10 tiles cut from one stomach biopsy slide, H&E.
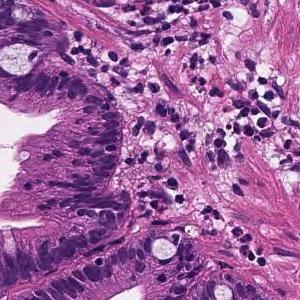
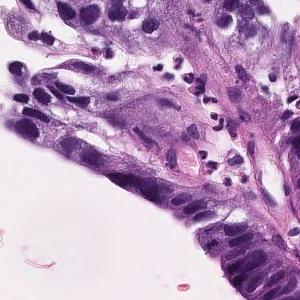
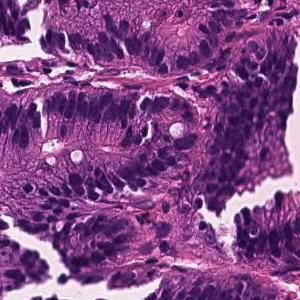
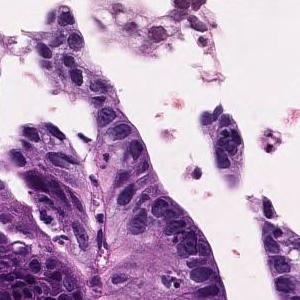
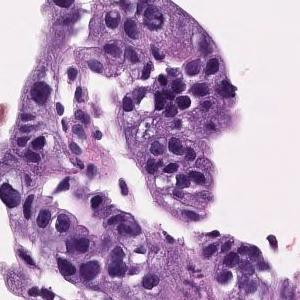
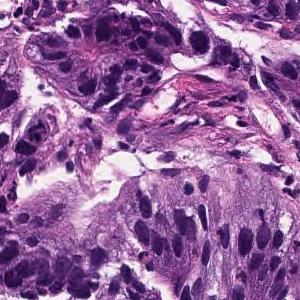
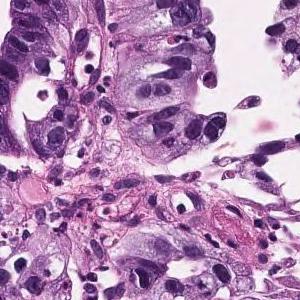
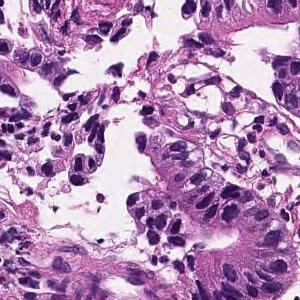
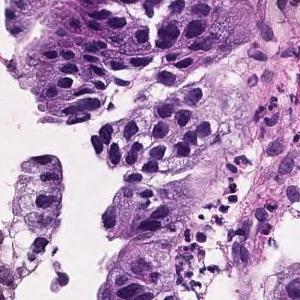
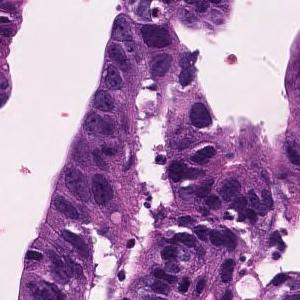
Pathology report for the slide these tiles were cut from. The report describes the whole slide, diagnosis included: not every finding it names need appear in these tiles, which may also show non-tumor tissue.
Tumor cells are large, highly columnar, large club-shaped nuclei, and are associated with chromatin aggregation. Papillary adenocarcinoma.
